H&E stain, 15 tiles from the same stomach biopsy slide, 300×300 px each.
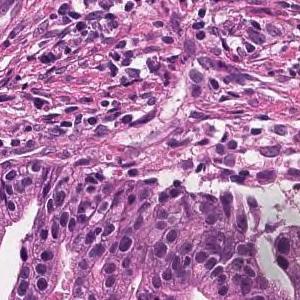
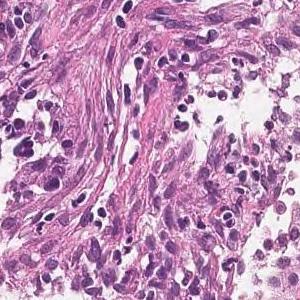
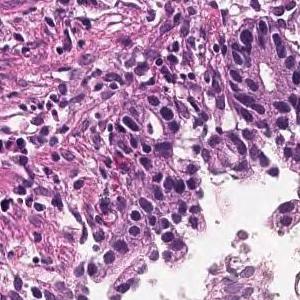
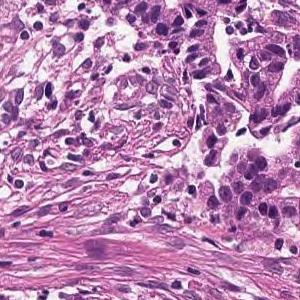
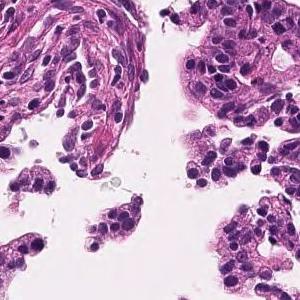
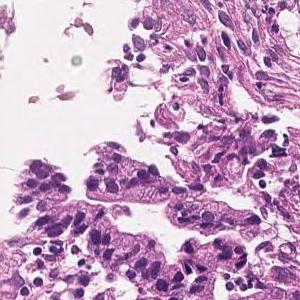
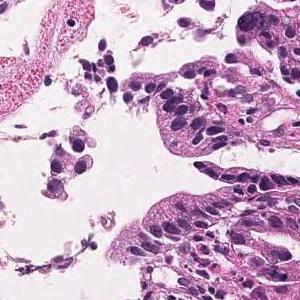
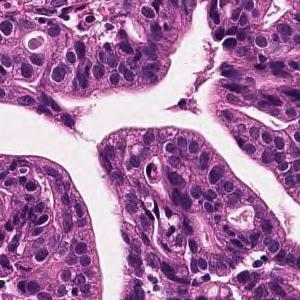
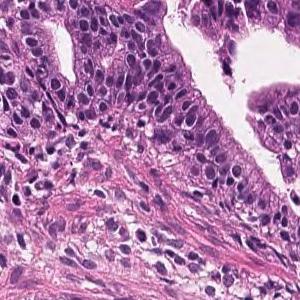
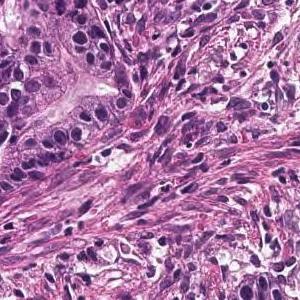
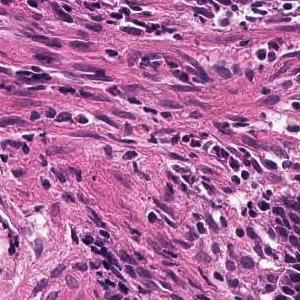
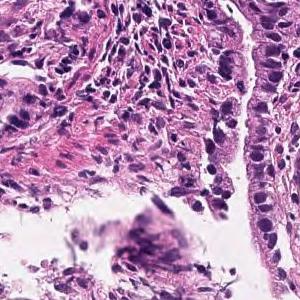
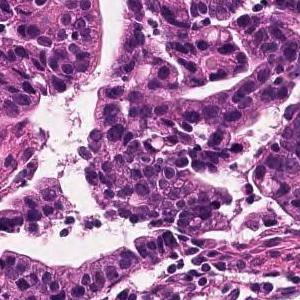
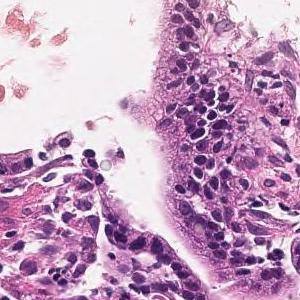
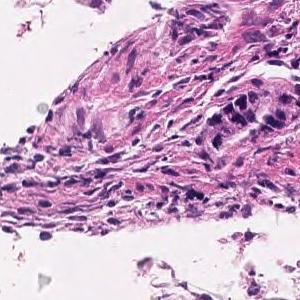
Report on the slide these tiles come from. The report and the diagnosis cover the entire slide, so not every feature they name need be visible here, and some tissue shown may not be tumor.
Tumor cells are large, highly columnar, large club-shaped nuclei, and are associated with chromatin aggregation. Papillary adenocarcinoma.
